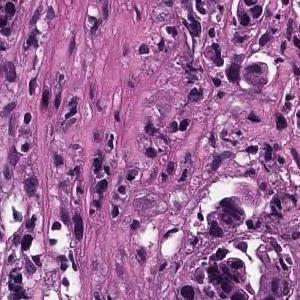
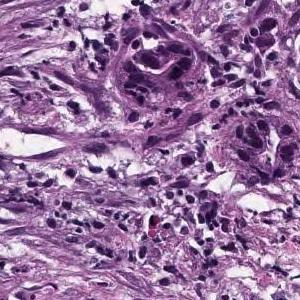
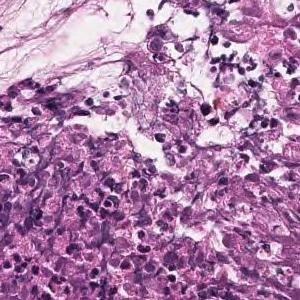
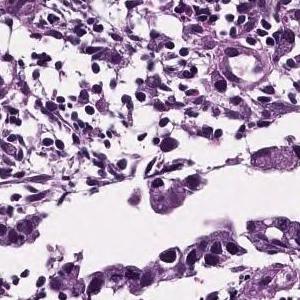
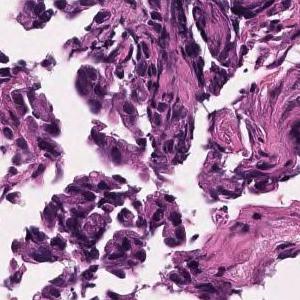
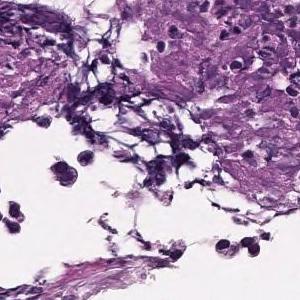
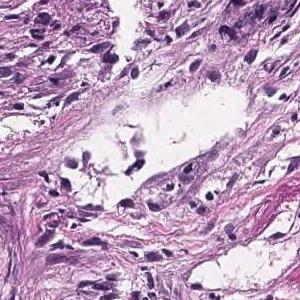
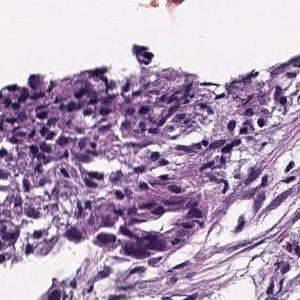
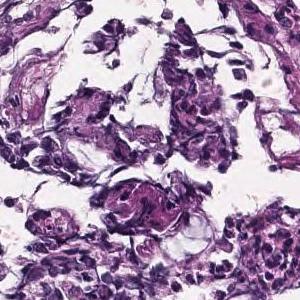
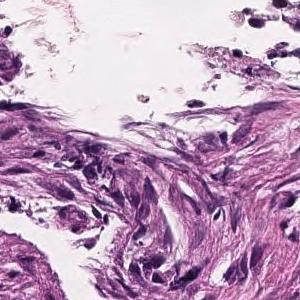
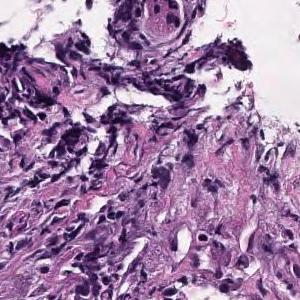
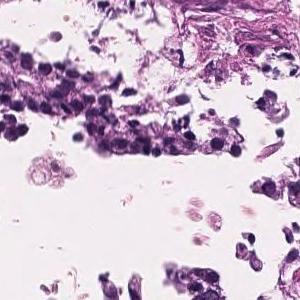
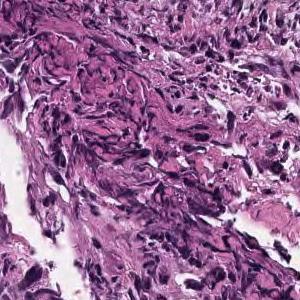
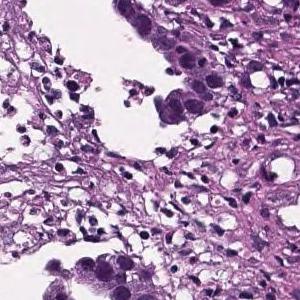
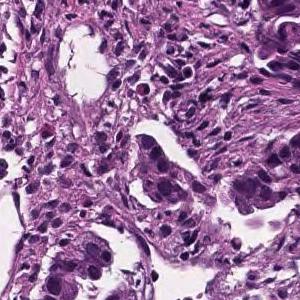
20× magnification · H&E · 15 patches cut from one gastric biopsy slide · 300 × 300 pixels each.
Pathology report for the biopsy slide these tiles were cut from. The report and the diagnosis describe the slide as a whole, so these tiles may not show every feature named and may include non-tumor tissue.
In the superficial epithelium, tumor tissue that invades by forming medium-sized to small, irregular ducts is observed. moderately differentiated tubular adenocarcinoma.
